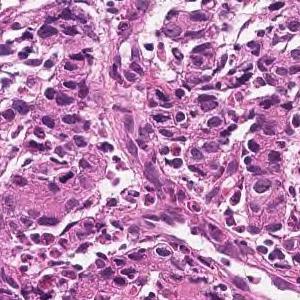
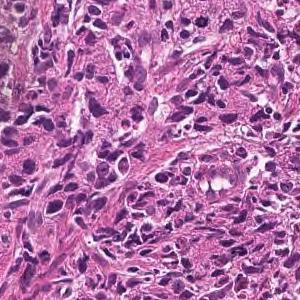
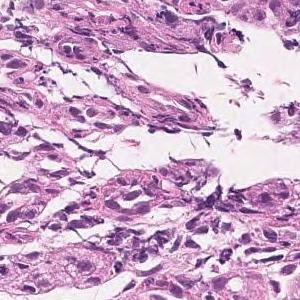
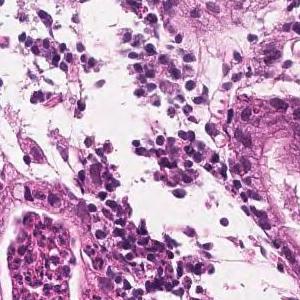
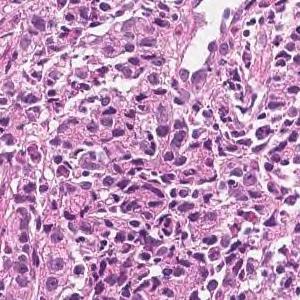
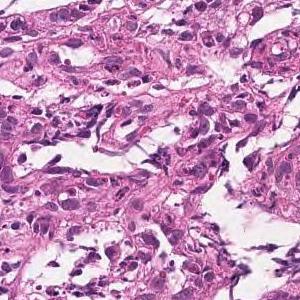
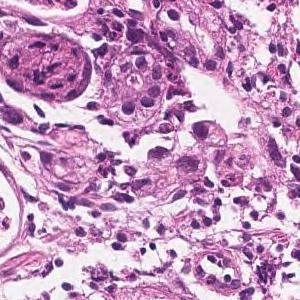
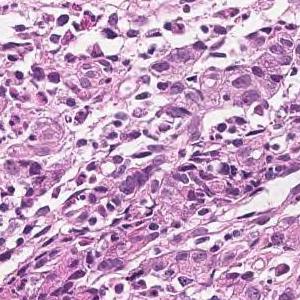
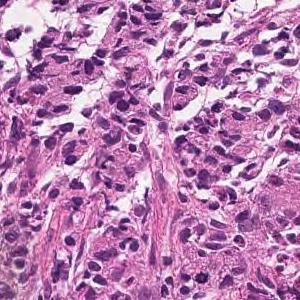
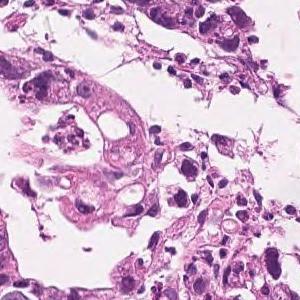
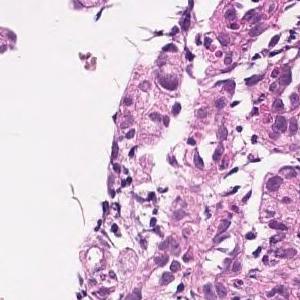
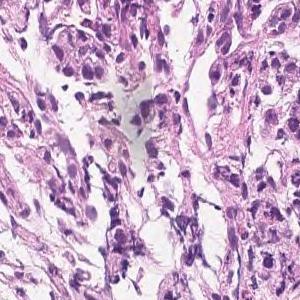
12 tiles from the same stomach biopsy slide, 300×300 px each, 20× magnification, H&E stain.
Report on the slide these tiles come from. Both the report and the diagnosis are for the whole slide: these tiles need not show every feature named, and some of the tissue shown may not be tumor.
In the superficial epithelium, medium to small, irregular glandular ducts are formed, and in some parts, the glandular ducts are fused, and in other parts, small cord-like infiltrating tumor tissue is observed. Moderately to poorly differentiated adenocarcinoma.
